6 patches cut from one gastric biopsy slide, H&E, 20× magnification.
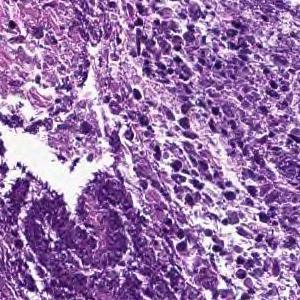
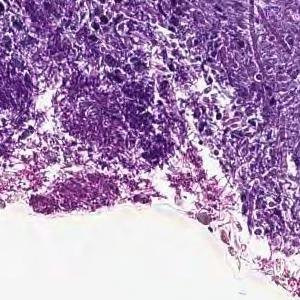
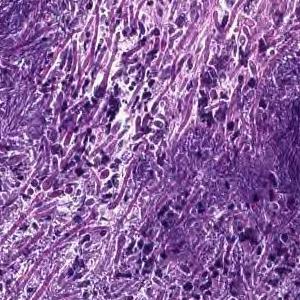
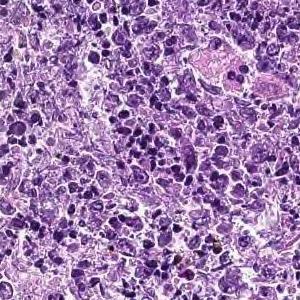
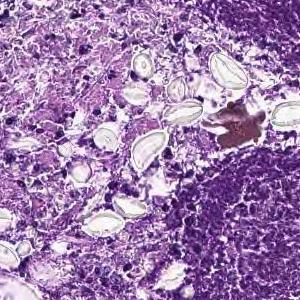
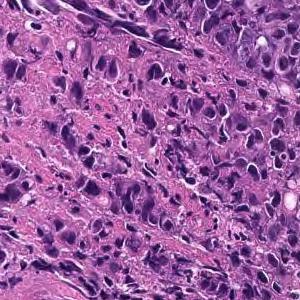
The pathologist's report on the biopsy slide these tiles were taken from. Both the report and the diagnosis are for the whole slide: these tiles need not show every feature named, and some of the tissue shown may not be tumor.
Cancers with polygonal nuclei do not show glandular formation and are densely, in part, cord-like and proliferate. Poorly differentiated adenocarcinoma
Histological subtype: Poorly differentiated adenocarcinoma, non-solid type.
The non-solid type named here is a Japanese Classification of Gastric Carcinoma category.
